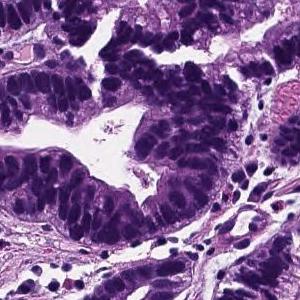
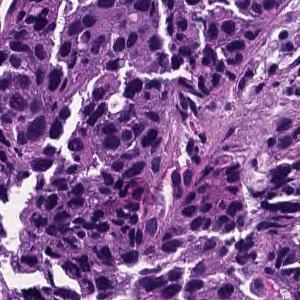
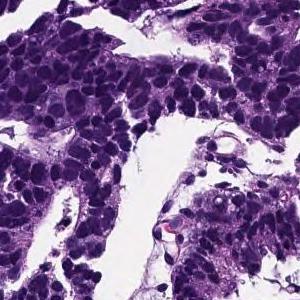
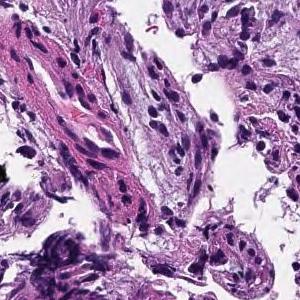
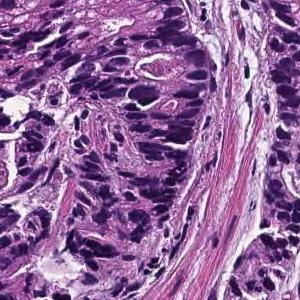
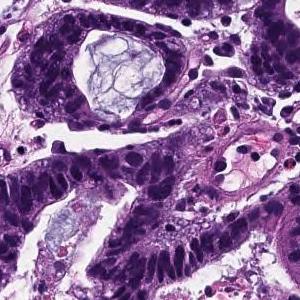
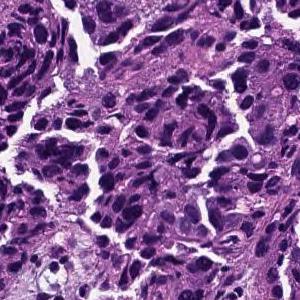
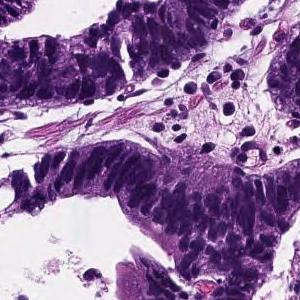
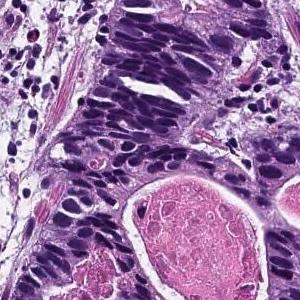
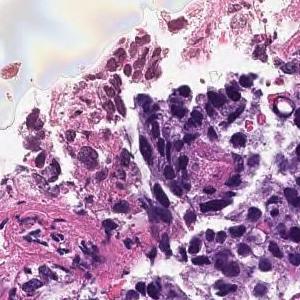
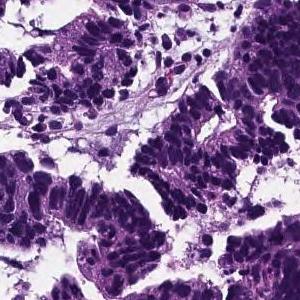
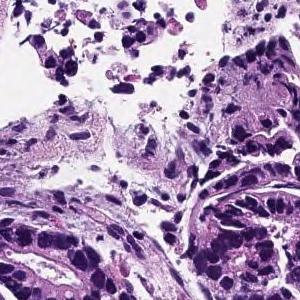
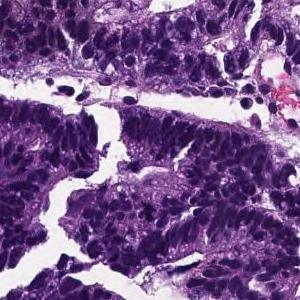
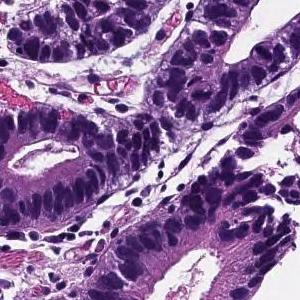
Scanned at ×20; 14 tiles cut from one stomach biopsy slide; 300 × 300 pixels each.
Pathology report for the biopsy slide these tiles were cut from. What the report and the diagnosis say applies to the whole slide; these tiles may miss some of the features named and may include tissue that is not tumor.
From the superficial epithelium to the muscularis mucosae, tumor tissue consisting of medium-sized and irregular glandular ducts infiltrating is observed. Well differentiated tubular adenocarcinoma
